8 tiles from the same stomach biopsy slide · hematoxylin and eosin stain · 20× magnification.
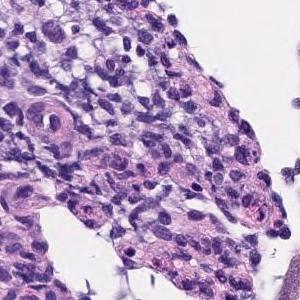
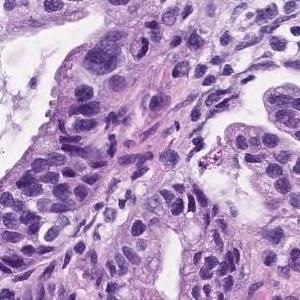
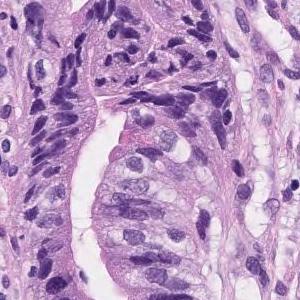
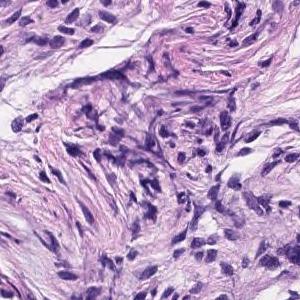
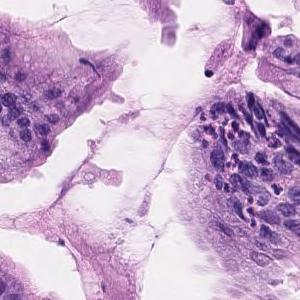
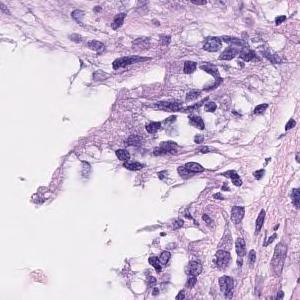
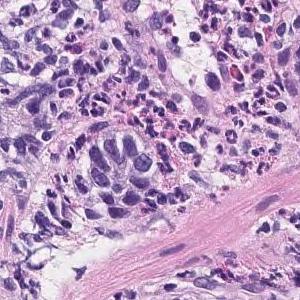
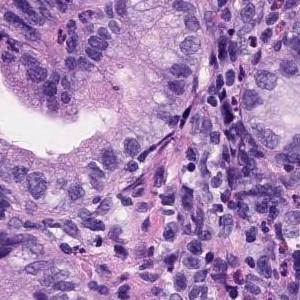
Pathology report for the biopsy slide these tiles were cut from. The findings and the diagnosis refer to the entire slide; these tiles show only part of it, possibly with non-tumor tissue, and may not show every feature named.
Tumor cells are large, highly columnar, large club-shaped nuclei, and are associated with chromatin aggregation. Papillary adenocarcinoma.
